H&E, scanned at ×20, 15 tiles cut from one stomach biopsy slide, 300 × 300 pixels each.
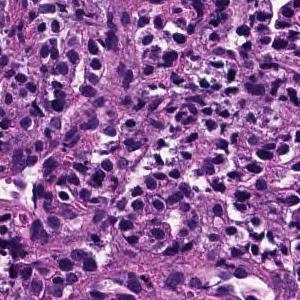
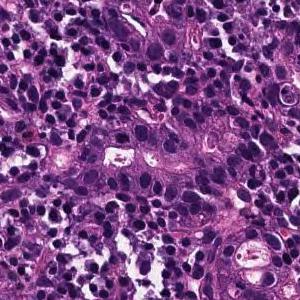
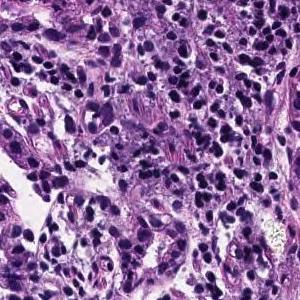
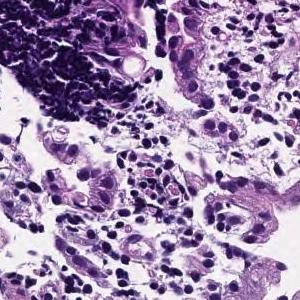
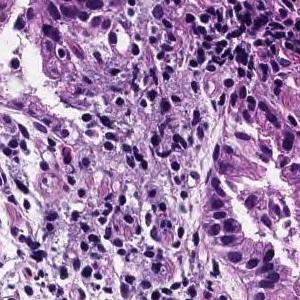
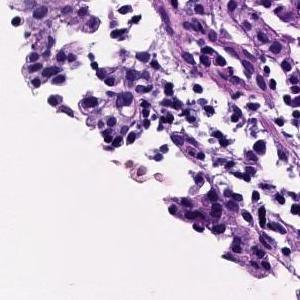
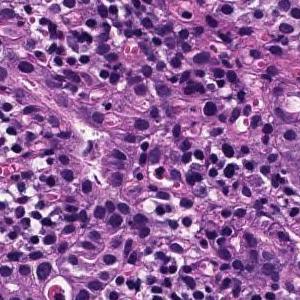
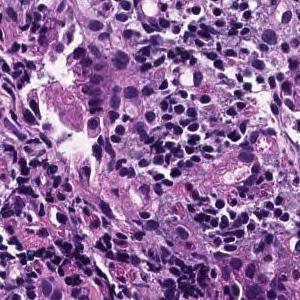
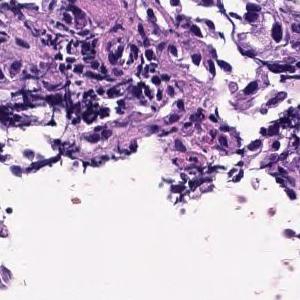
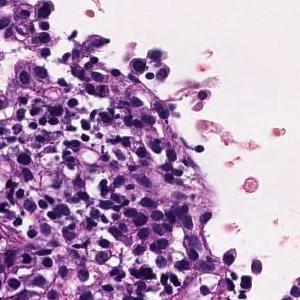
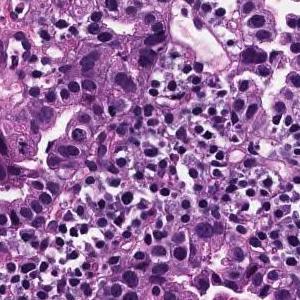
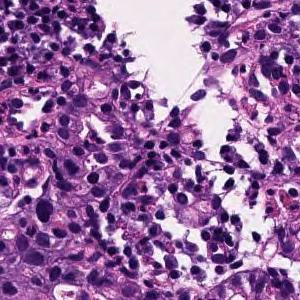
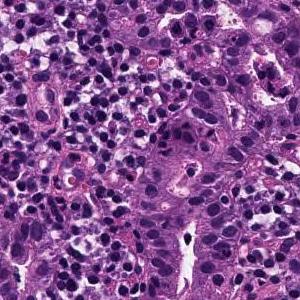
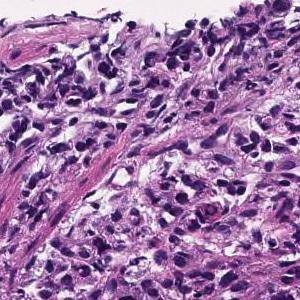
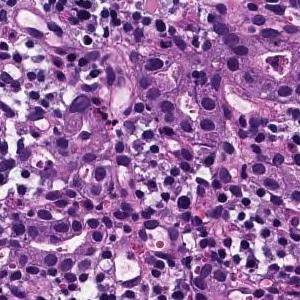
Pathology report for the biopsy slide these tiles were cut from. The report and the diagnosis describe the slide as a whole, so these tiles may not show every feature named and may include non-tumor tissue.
Medium to small, irregular glandular ducts are formed in the superficial epithelium, and in some cases, the glandular ducts are fused to show solid alveolar lesions and infiltrating tumor tissue is observed. Moderately to poorly differentiated adenocarcinoma.
